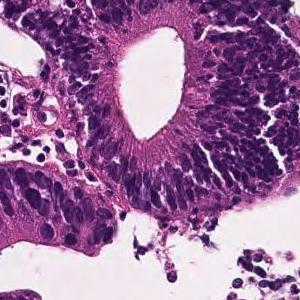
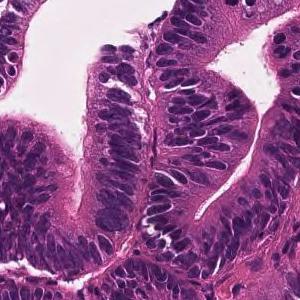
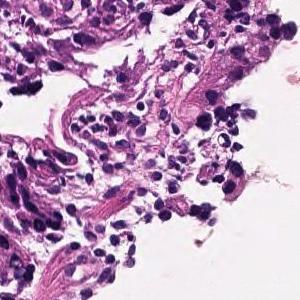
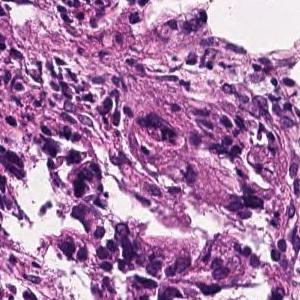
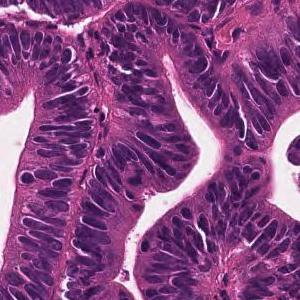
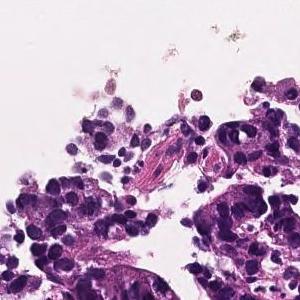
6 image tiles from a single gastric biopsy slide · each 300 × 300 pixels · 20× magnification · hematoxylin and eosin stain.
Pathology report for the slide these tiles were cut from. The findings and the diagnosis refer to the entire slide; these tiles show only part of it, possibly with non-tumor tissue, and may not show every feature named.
A large irregular tubular structure is exhibited in the epithelium, and tumor tissue that partially fuses and infiltrates and proliferates is observed. Large columnar tumor cells exhibit enlarged nucleus, hyperchromatism, and mitotic figures. Well differentiated tubular adenocarcinoma
